9 patches cut from one gastric biopsy slide; each 300 × 300 pixels; ×20; hematoxylin and eosin stain.
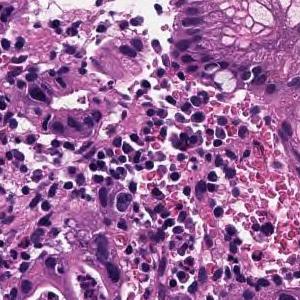
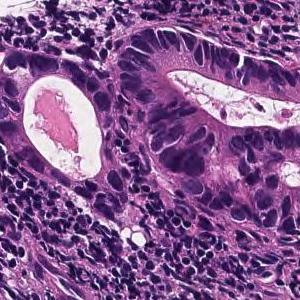
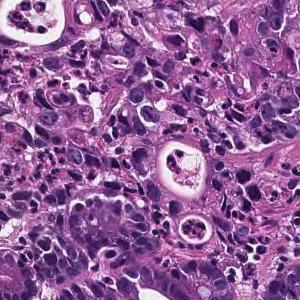
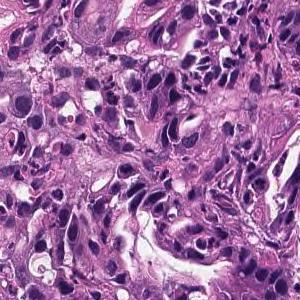
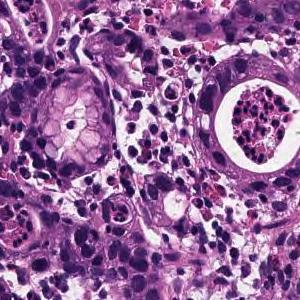
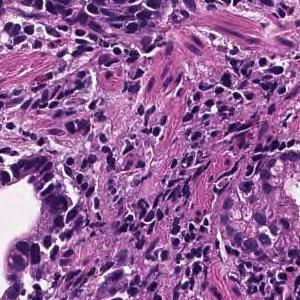
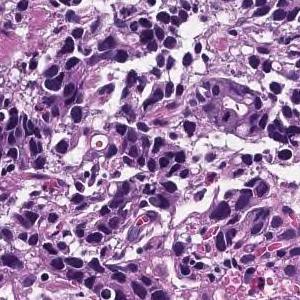
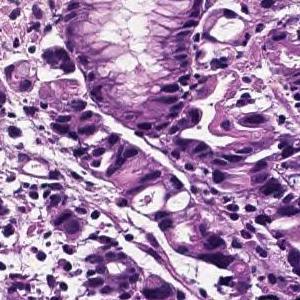
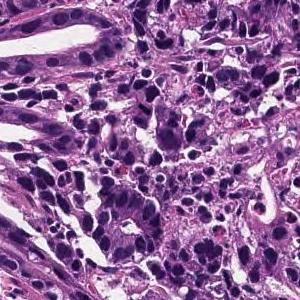
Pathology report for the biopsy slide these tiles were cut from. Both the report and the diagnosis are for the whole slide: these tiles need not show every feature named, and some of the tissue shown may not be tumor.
In the superficial epithelium, tumor tissue that invades by forming medium-sized to small, irregular ducts is observed. moderately differentiated tubular adenocarcinoma.
